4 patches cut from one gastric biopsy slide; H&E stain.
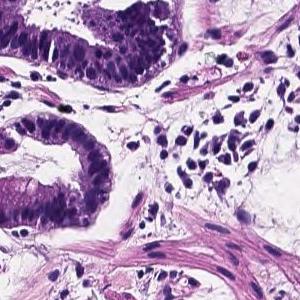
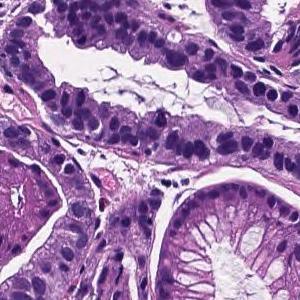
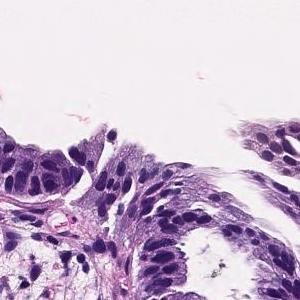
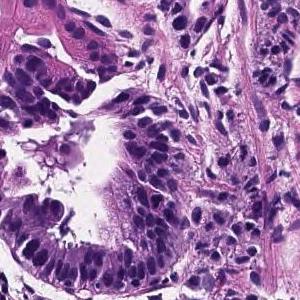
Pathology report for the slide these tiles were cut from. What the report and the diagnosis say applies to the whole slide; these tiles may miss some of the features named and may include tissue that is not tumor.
Tumor cells are large, highly columnar, large club-shaped nuclei, and are associated with chromatin aggregation. Papillary adenocarcinoma.
